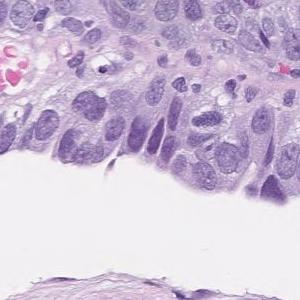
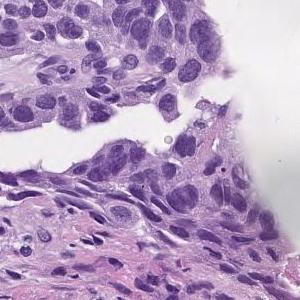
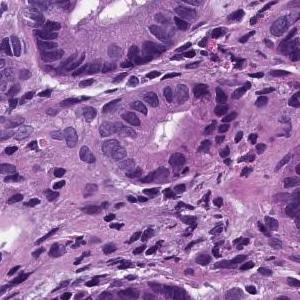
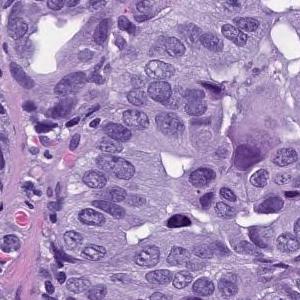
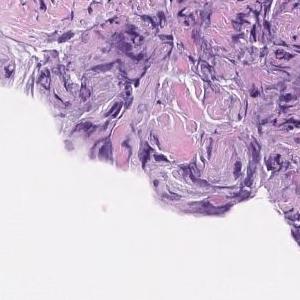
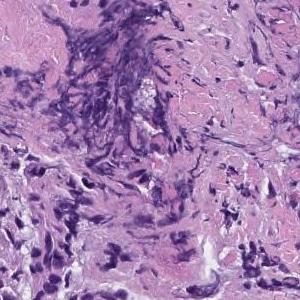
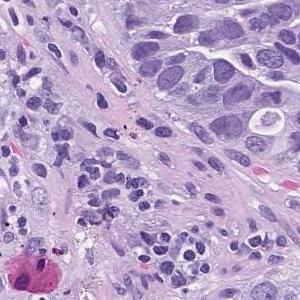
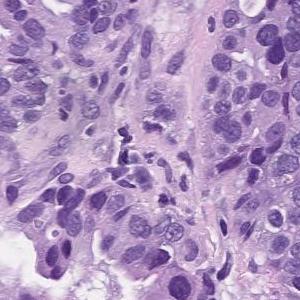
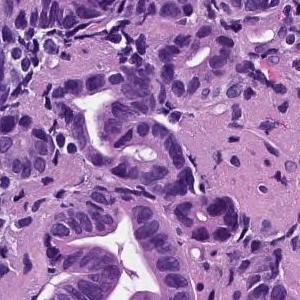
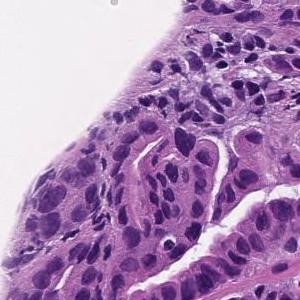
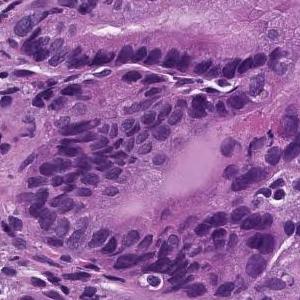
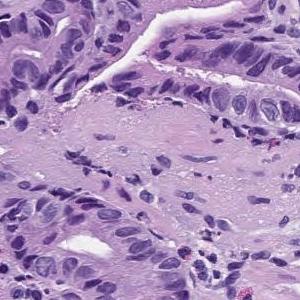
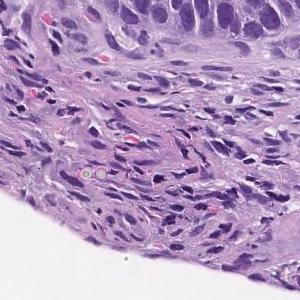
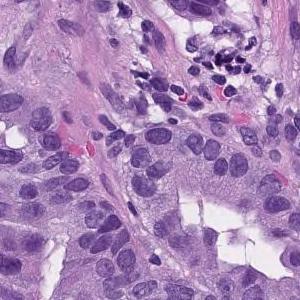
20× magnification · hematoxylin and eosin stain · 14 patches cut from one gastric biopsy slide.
The pathologist's report on the biopsy slide these tiles were taken from. The report describes the whole slide, diagnosis included: not every finding it names need appear in these tiles, which may also show non-tumor tissue.
In the superficial epithelium, tumor tissue that invades by forming medium-sized to small, irregular ducts is observed. moderately differentiated tubular adenocarcinoma.
